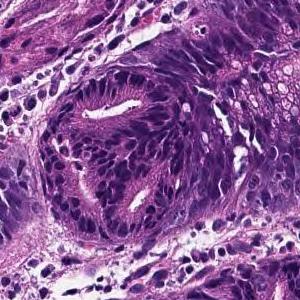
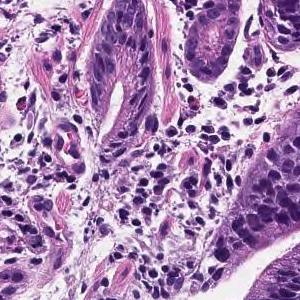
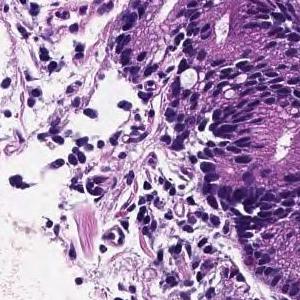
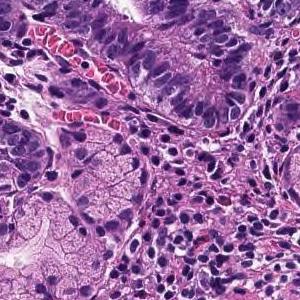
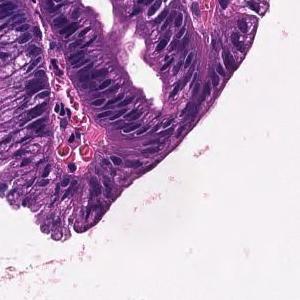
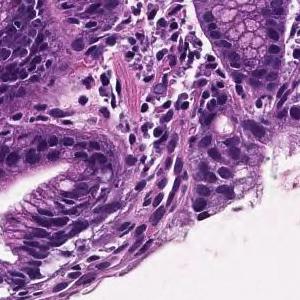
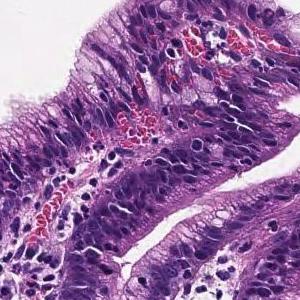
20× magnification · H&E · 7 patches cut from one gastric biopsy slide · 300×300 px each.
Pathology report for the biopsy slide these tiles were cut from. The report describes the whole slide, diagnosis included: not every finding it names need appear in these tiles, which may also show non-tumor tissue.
From the superficial epithelium to the muscularis mucosae, tumor tissue consisting of medium-sized and irregular glandular ducts infiltrating is observed. Well differentiated tubular adenocarcinoma
